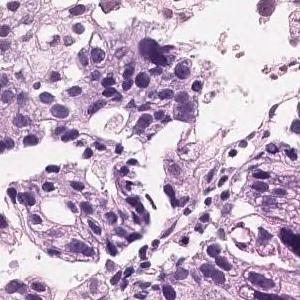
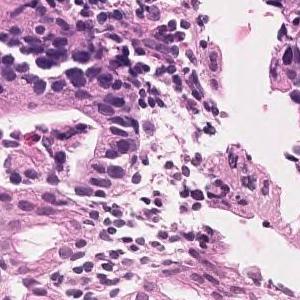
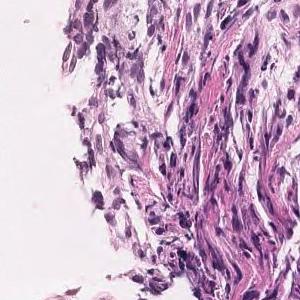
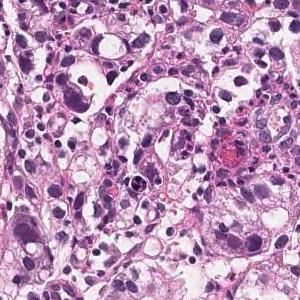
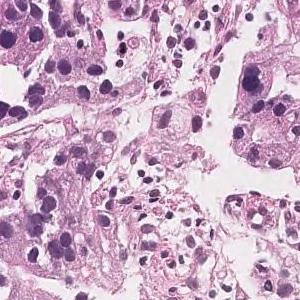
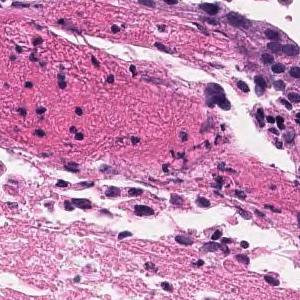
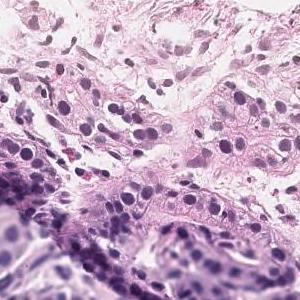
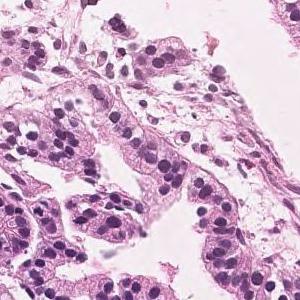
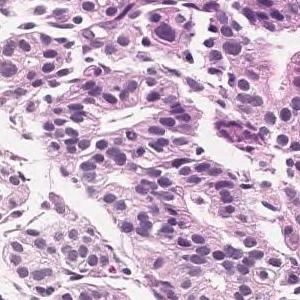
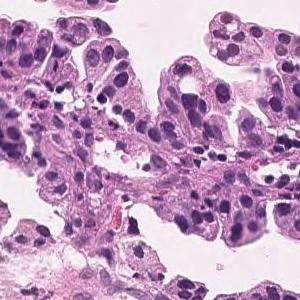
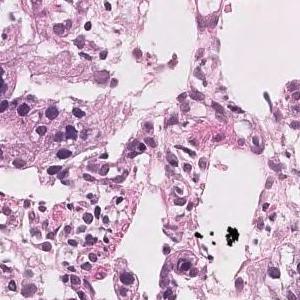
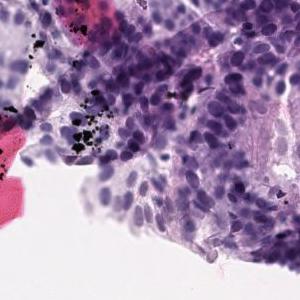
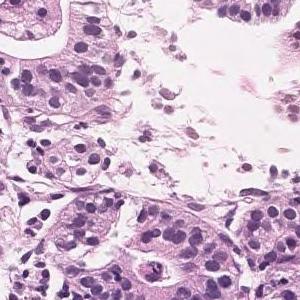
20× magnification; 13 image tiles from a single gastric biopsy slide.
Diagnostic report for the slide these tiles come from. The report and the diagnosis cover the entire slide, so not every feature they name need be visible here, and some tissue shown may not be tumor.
In the superficial epithelium, tumor tissue that invades by forming medium-sized to small, irregular ducts is observed. moderately differentiated tubular adenocarcinoma.
